10 patches cut from one gastric biopsy slide; H&E stain.
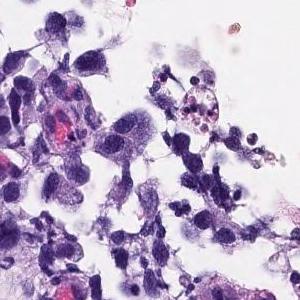
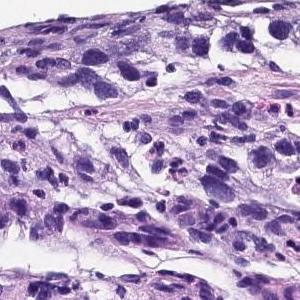
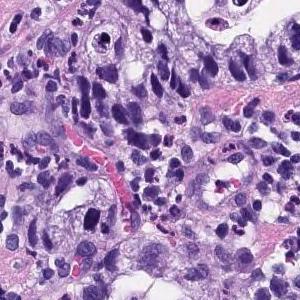
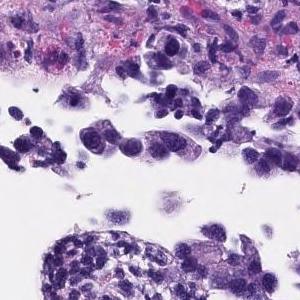
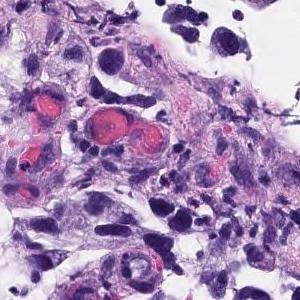
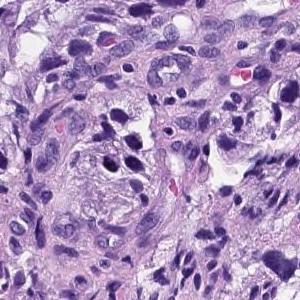
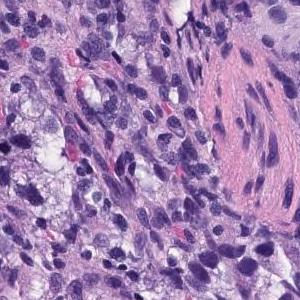
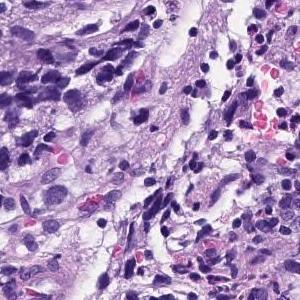
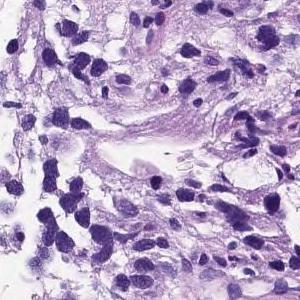
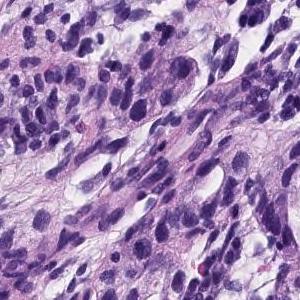
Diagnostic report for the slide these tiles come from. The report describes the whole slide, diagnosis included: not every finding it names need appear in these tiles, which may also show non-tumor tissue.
Medium to small, irregular glandular ducts are formed in the superficial epithelium, and in some cases, the glandular ducts are fused to show solid alveolar lesions and infiltrating tumor tissue is observed. Poorly differentiated adenocarcinoma, Moderately differentiated adenocarcinoma.
Dataset label: moderately differentiated tubular adenocarcinoma.
